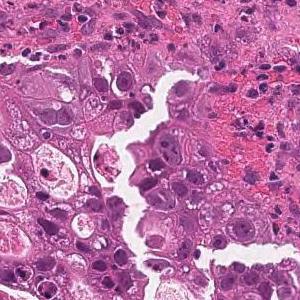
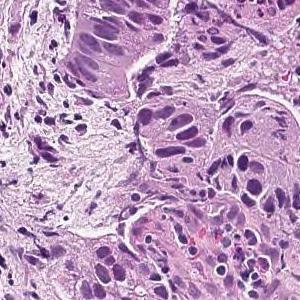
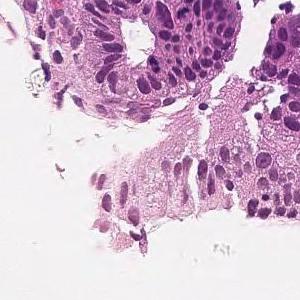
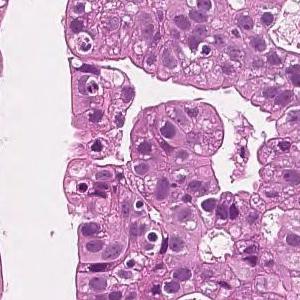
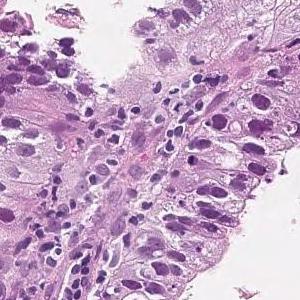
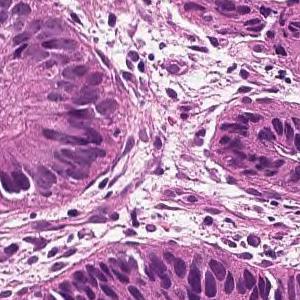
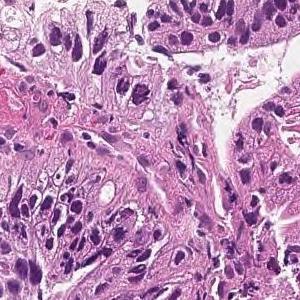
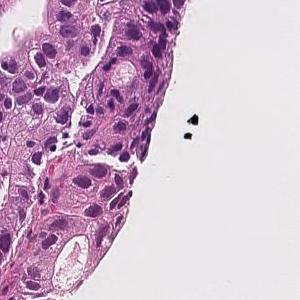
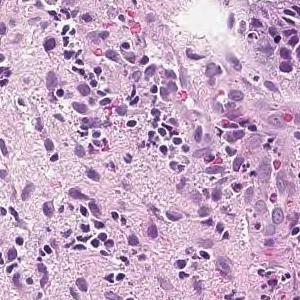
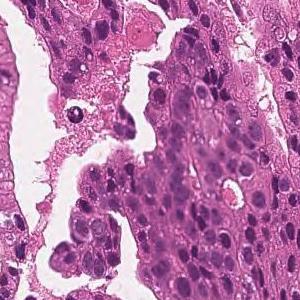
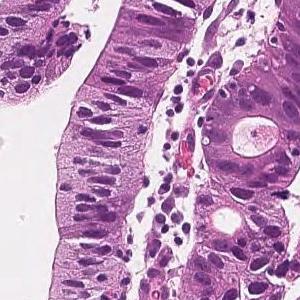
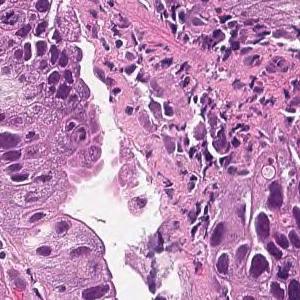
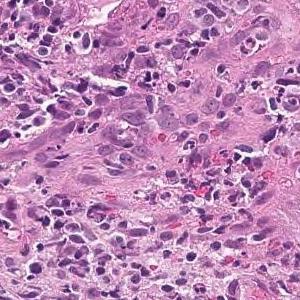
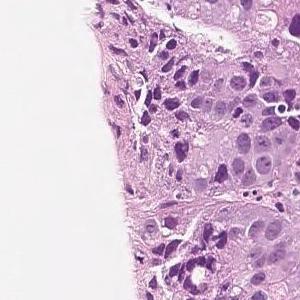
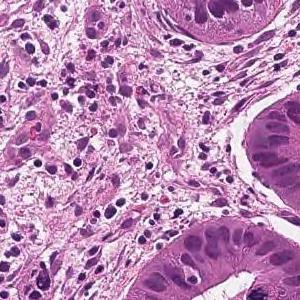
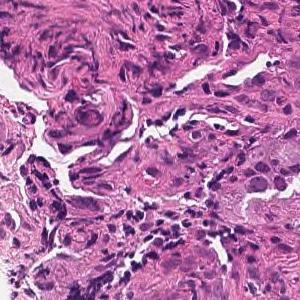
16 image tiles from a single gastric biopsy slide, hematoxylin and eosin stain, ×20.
The pathologist's report on the biopsy slide these tiles were taken from. The report and the diagnosis cover the entire slide, so not every feature they name need be visible here, and some tissue shown may not be tumor.
In the superficial epithelium, tumor tissue that invades by forming medium-sized to small, irregular ducts is observed. moderately differentiated tubular adenocarcinoma.
